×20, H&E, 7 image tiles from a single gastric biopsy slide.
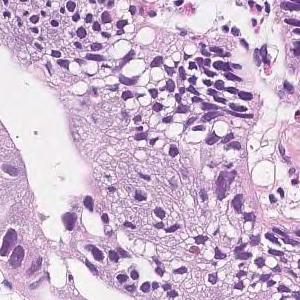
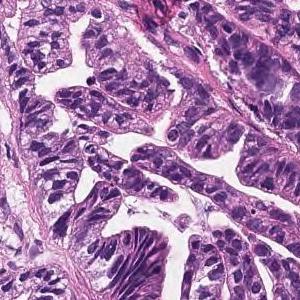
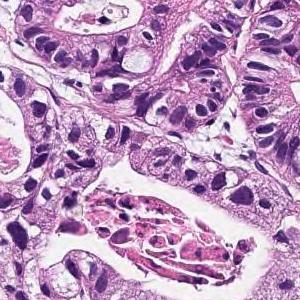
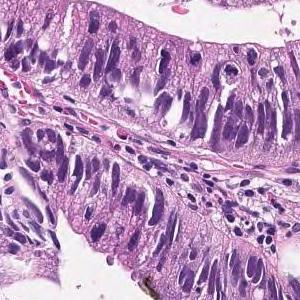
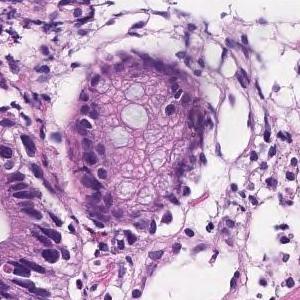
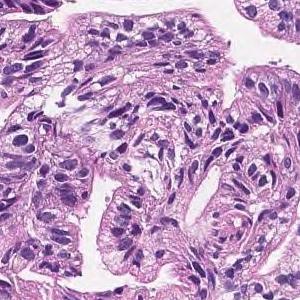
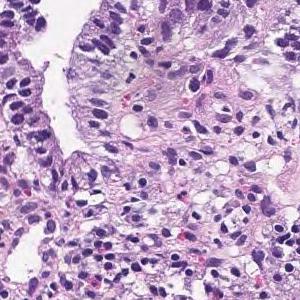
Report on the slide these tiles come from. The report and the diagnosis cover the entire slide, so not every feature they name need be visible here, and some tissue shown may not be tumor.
In the superficial epithelium, tumor tissue that invades by forming medium-sized to small, irregular ducts is observed. Moderately differentiated adenocarcinoma.
Classified as moderately differentiated tubular adenocarcinoma.
